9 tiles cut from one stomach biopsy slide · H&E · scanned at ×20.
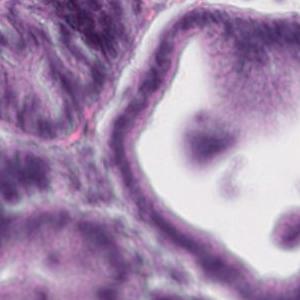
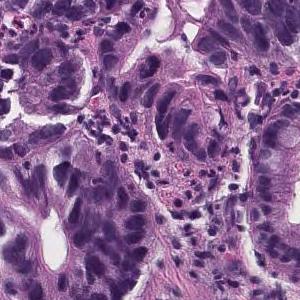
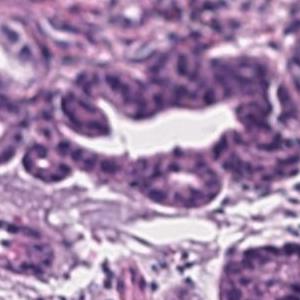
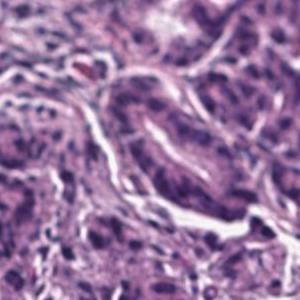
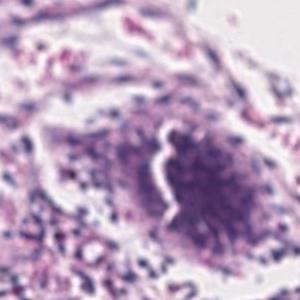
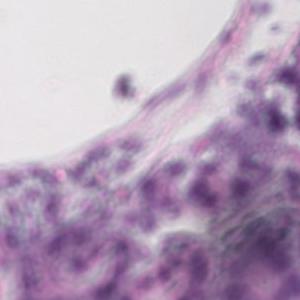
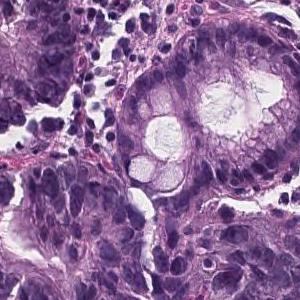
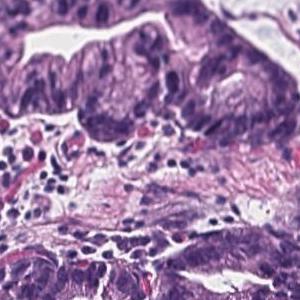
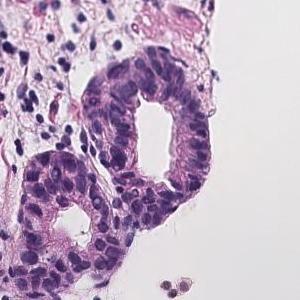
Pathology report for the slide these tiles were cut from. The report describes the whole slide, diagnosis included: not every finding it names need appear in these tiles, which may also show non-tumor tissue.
On the superficial epithelium, tumor tissue consisting of medium to small irregular tubules partially fused and proliferated is observed. Well differentiated tubular adenocarcinoma
